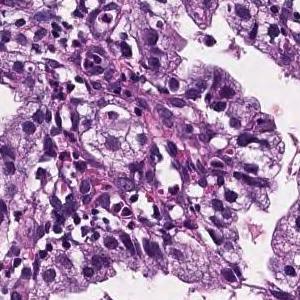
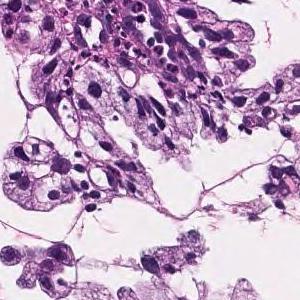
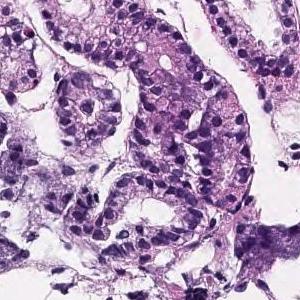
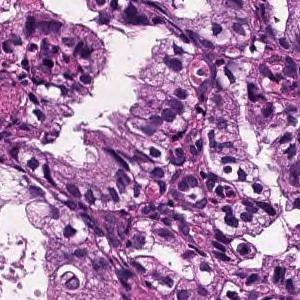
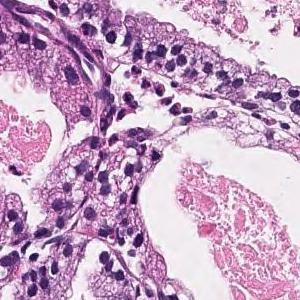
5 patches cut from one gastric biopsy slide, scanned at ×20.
The pathologist's report on the biopsy slide these tiles were taken from. Both the report and the diagnosis are for the whole slide: these tiles need not show every feature named, and some of the tissue shown may not be tumor.
In the superficial epithelium, tumor tissue that infiltrates by forming medium-sized papillary or small irregular ducts is observed. Papillary adenocarcinoma
